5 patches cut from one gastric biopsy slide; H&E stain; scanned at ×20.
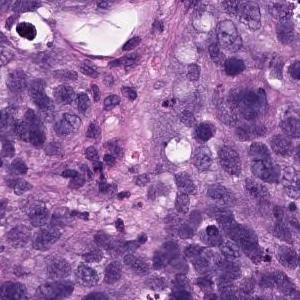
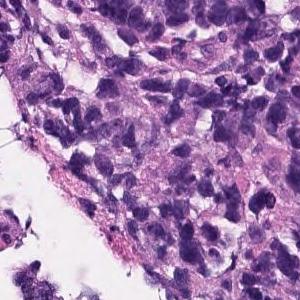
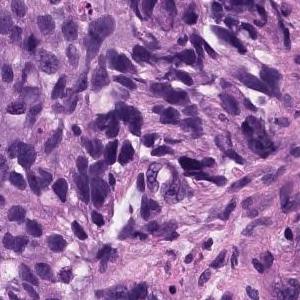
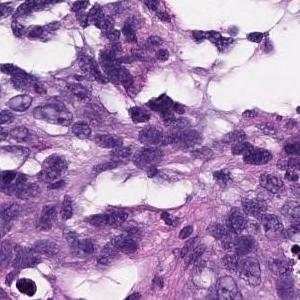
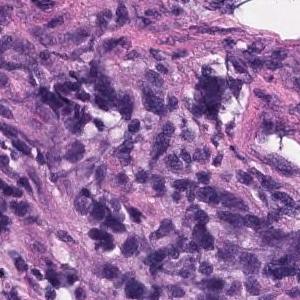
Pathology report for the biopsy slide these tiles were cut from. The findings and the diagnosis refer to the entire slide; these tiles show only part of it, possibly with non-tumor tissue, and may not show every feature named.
Atypical l cells with atypical nuclei under the mucosa growing in isolation and scattered. Poorly differentiated adenocarcinoma (poorly differentiated adenocarcinoma, non-solid type)
Histological subtype: Poorly differentiated adenocarcinoma, non-solid type.
The term "non-solid type" comes from the Japanese Classification of Gastric Carcinoma.
